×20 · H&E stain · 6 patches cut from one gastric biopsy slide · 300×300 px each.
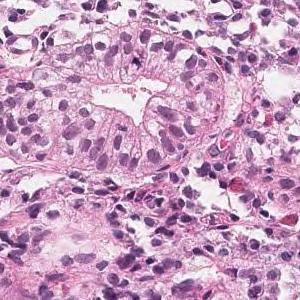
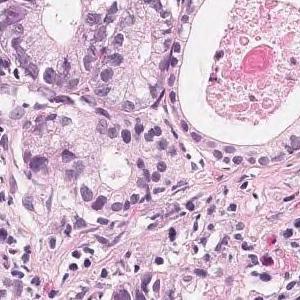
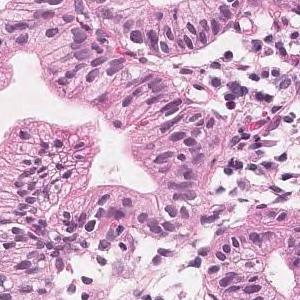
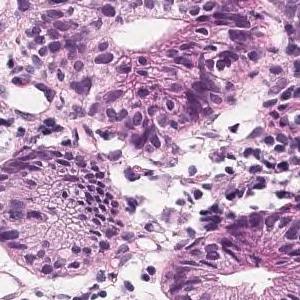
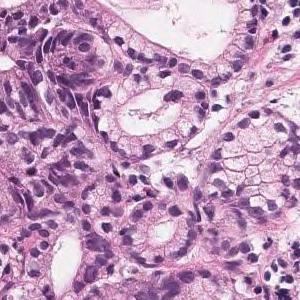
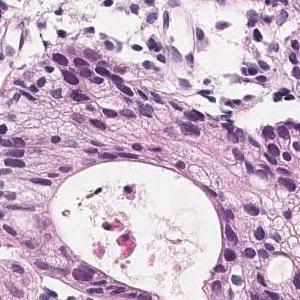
Pathology report for the biopsy slide these tiles were cut from. What the report and the diagnosis say applies to the whole slide; these tiles may miss some of the features named and may include tissue that is not tumor.
Proliferation of atypical glandular ducts that fuse and show a sieving structure is observed. moderately differentiated tubular adenocarcinoma
